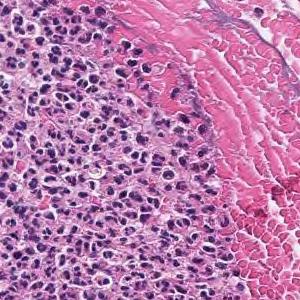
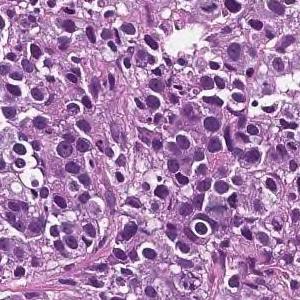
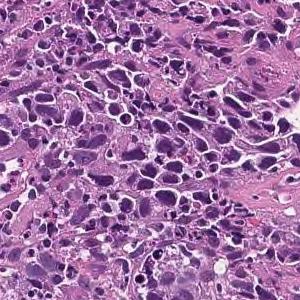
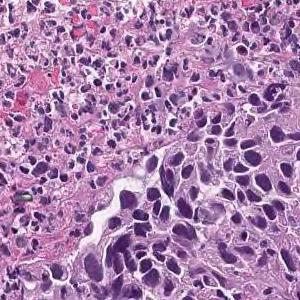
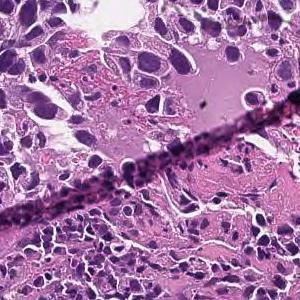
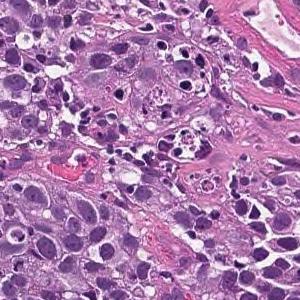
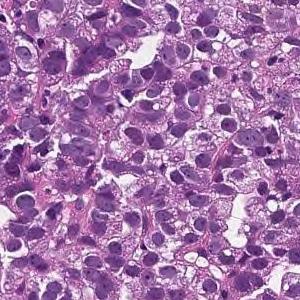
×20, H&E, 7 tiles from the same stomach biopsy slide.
The pathologist's report on the biopsy slide these tiles were taken from. The findings and the diagnosis refer to the entire slide; these tiles show only part of it, possibly with non-tumor tissue, and may not show every feature named.
The superficial epithelium shows a large sheet-like shape, and some tumor tissue infiltrates with small irregular ducts. Poorly differentiated adenocarcinoma, solid-type
Histologic type: Poorly differentiated adenocarcinoma, solid type (Japanese Classification of Gastric Carcinoma). The WHO 2019 equivalent is tubular adenocarcinoma, poorly differentiated.
